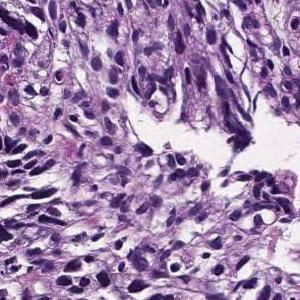
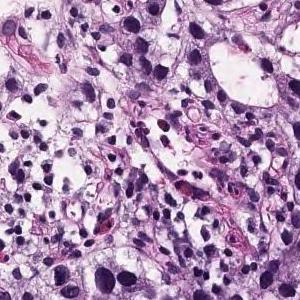
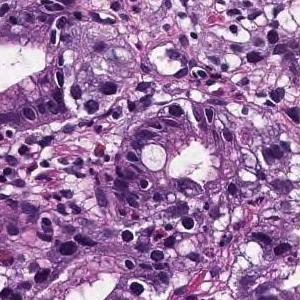
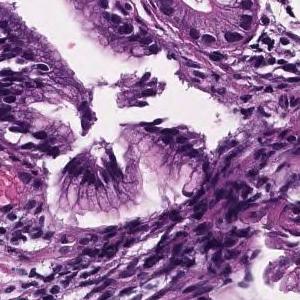
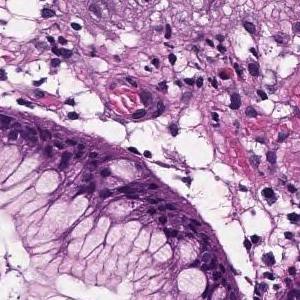
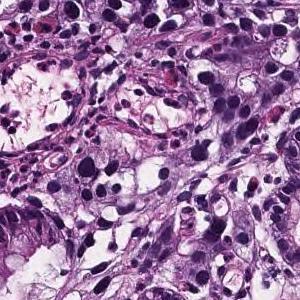
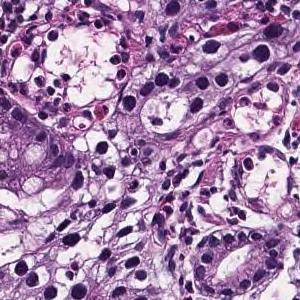
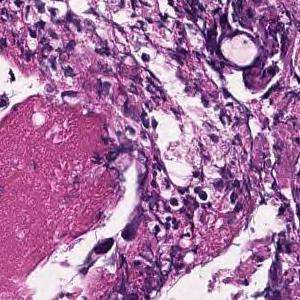
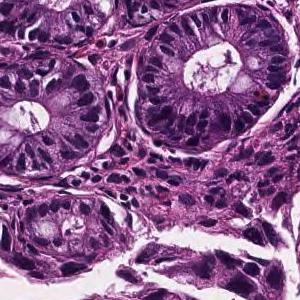
×20, H&E, 9 image tiles from a single gastric biopsy slide, 300 × 300 pixels each.
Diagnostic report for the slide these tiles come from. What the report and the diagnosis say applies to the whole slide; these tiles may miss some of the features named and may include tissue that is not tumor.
In the superficial epithelium, medium to small irregular gland ducts are formed, and in some cases, the ducts are fused to show solid alveolar lesions and infiltrating tumor tissue is observed. Moderately to poorly differentiated adenocarcinoma
